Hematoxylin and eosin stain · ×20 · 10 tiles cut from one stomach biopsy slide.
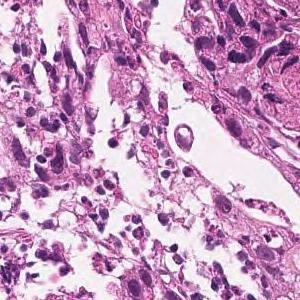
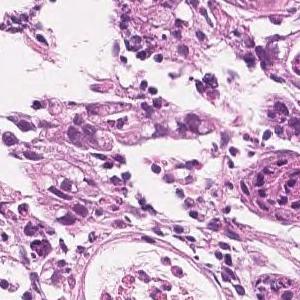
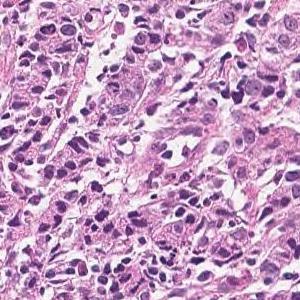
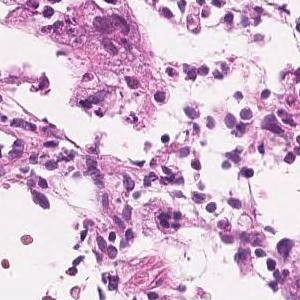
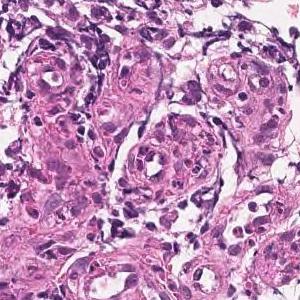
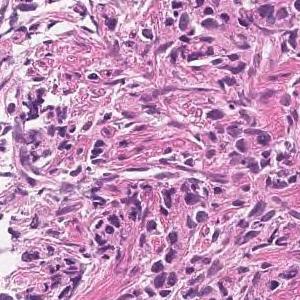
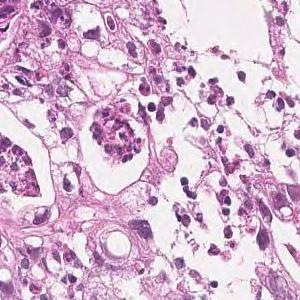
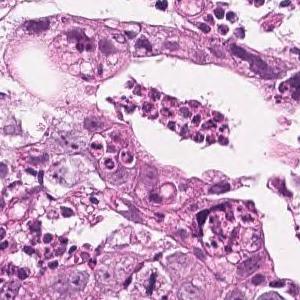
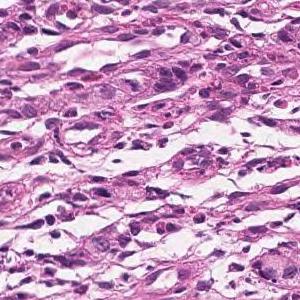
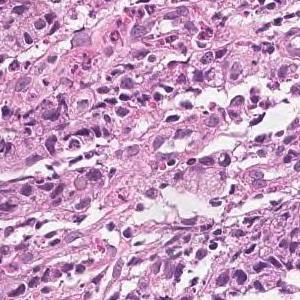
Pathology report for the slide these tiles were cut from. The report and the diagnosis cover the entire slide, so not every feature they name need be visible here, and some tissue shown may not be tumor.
In the superficial epithelium, medium to small, irregular glandular ducts are formed, and in some parts, the glandular ducts are fused, and in other parts, small cord-like infiltrating tumor tissue is observed. Moderately to poorly differentiated adenocarcinoma.
